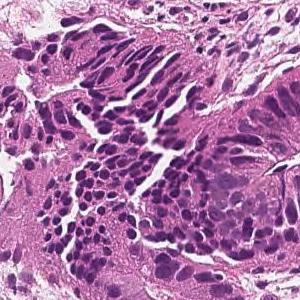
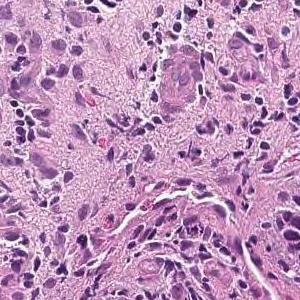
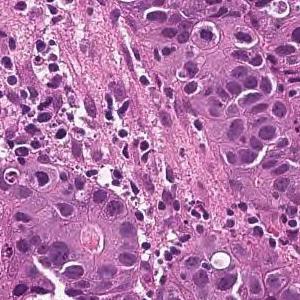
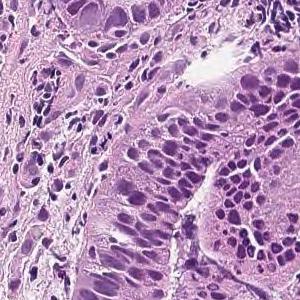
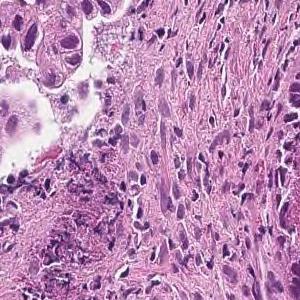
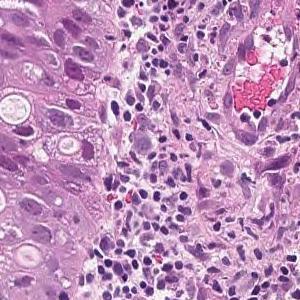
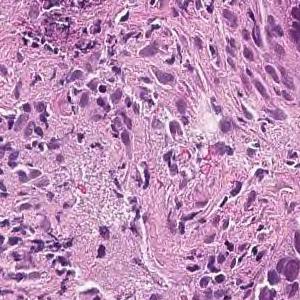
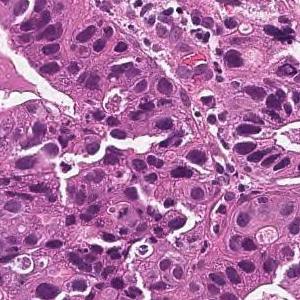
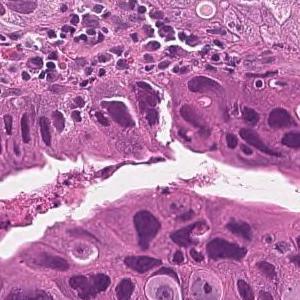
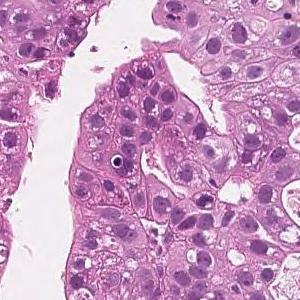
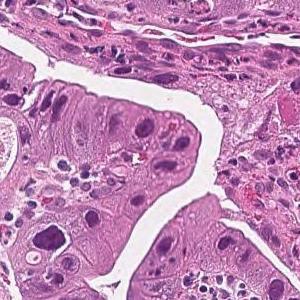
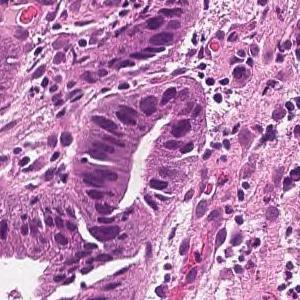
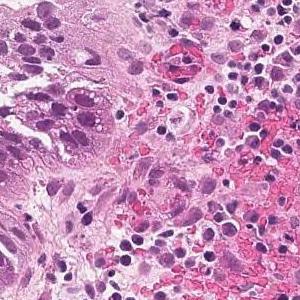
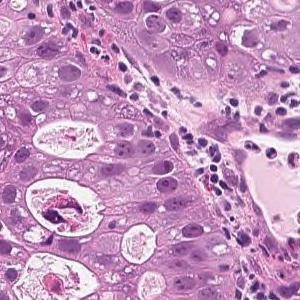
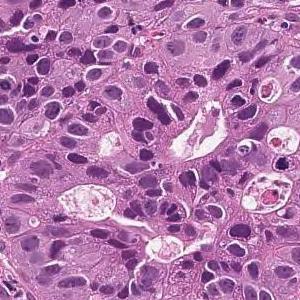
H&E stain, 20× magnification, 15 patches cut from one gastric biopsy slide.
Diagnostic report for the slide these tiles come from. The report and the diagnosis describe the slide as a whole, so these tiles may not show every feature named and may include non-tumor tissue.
In the superficial epithelium, tumor tissue that invades by forming medium-sized to small, irregular ducts is observed. moderately differentiated tubular adenocarcinoma.
